H&E; 20× magnification; 6 image tiles from a single gastric biopsy slide.
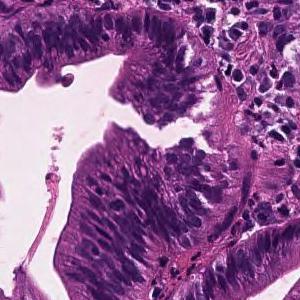
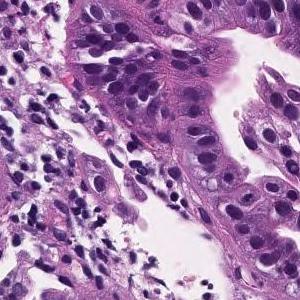
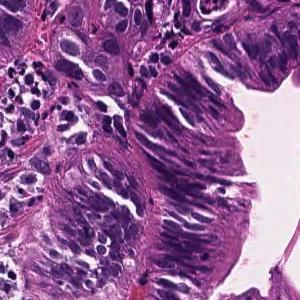
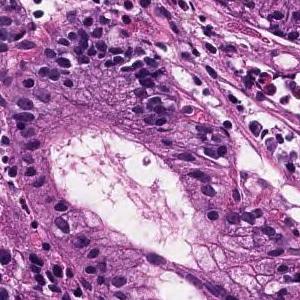
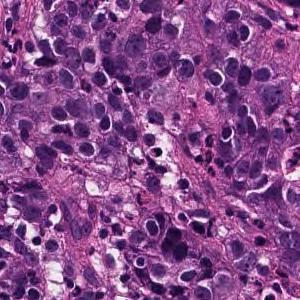
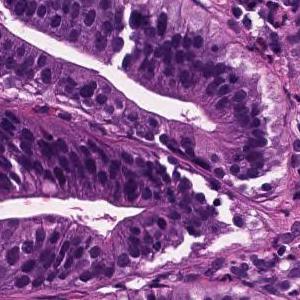
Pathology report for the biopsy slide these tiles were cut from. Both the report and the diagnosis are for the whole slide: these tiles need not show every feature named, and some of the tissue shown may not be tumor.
In the superficial epithelium, tumor tissue that invades by forming medium-sized to small, irregular ducts is observed. moderately differentiated tubular adenocarcinoma.
